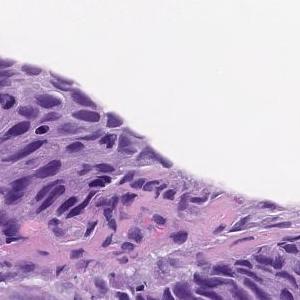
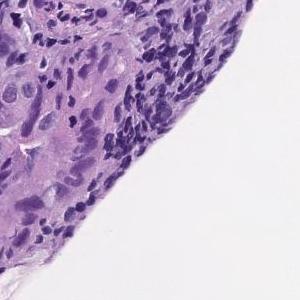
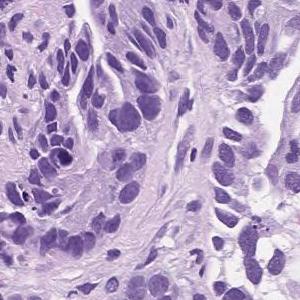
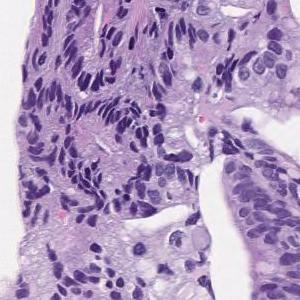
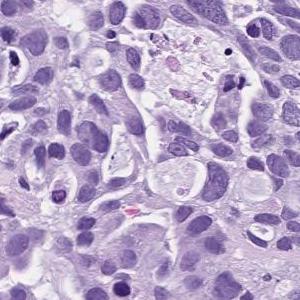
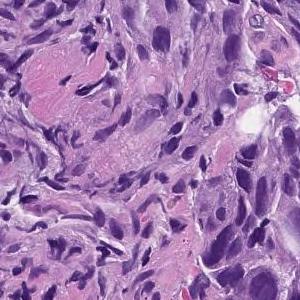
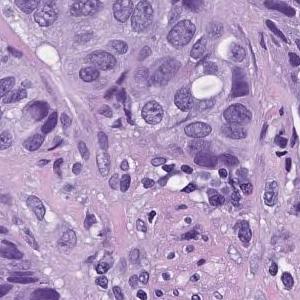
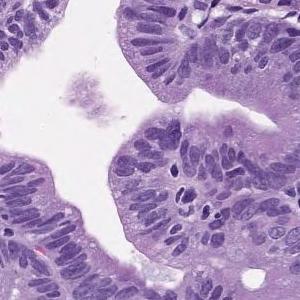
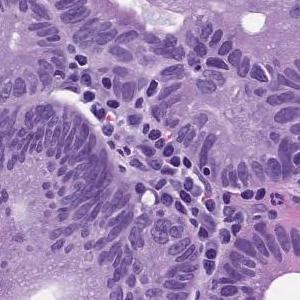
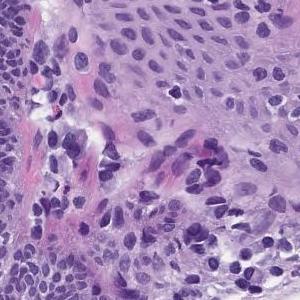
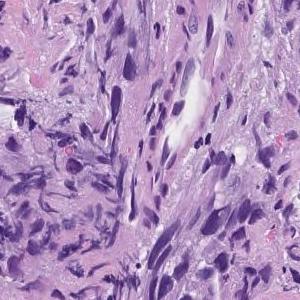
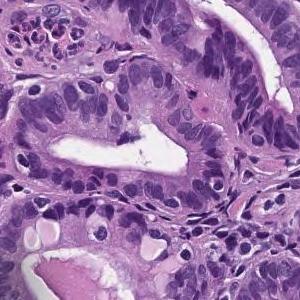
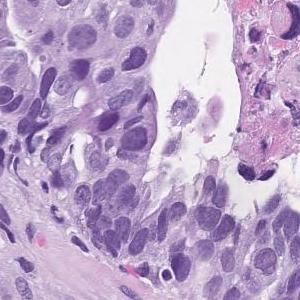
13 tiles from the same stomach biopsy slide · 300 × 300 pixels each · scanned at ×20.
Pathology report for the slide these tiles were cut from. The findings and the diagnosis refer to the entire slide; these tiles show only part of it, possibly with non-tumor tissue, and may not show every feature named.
In the superficial epithelium, tumor tissue that invades by forming medium-sized to small, irregular ducts is observed. moderately differentiated tubular adenocarcinoma.
